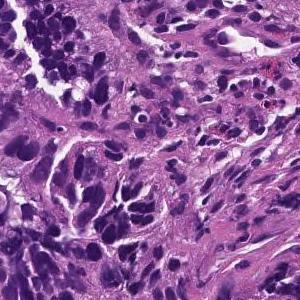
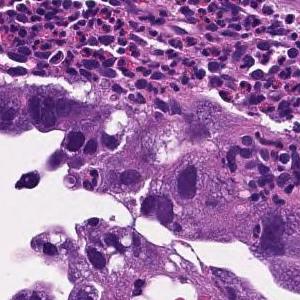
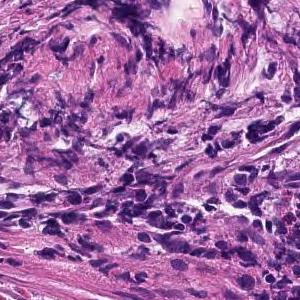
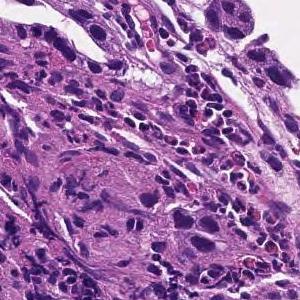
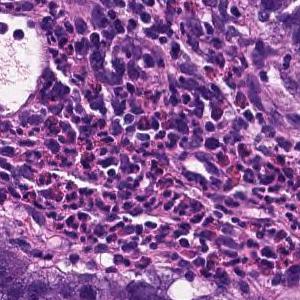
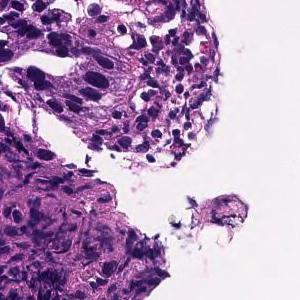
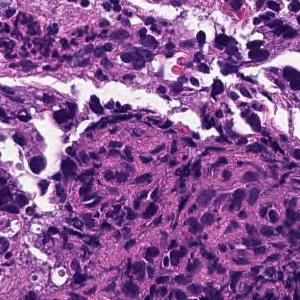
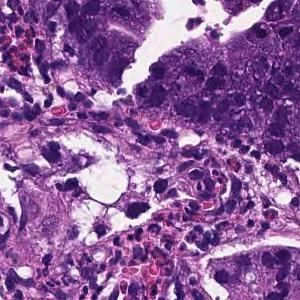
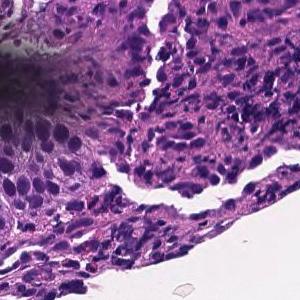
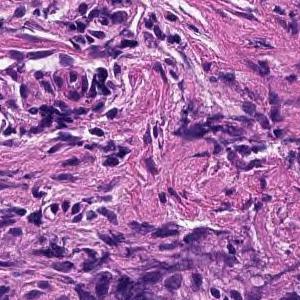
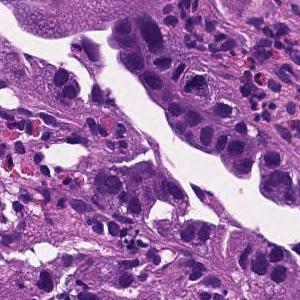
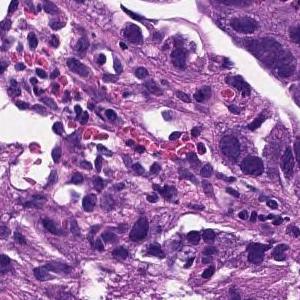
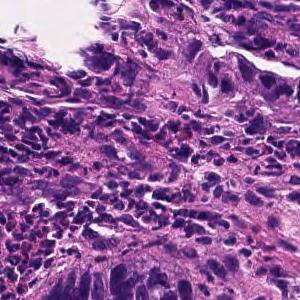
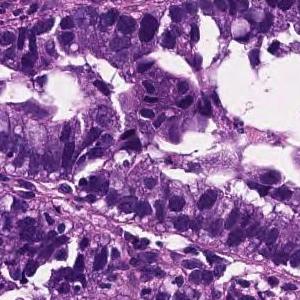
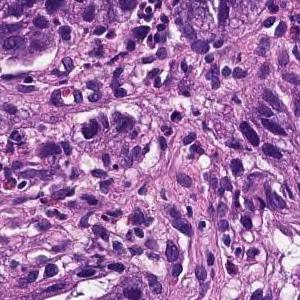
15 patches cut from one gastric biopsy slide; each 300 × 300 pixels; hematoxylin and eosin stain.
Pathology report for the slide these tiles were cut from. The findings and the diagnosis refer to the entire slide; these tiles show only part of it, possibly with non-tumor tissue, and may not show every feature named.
Tumor tissue consisting of large papillary structures is found in the superficial epithelium. Papillary adenocarcinoma.
